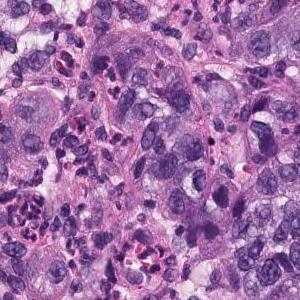
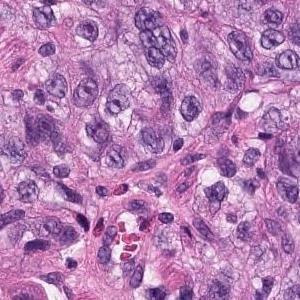
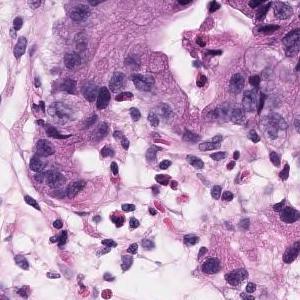
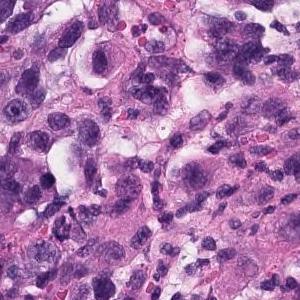
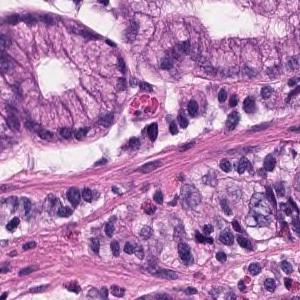
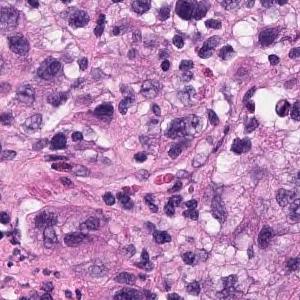
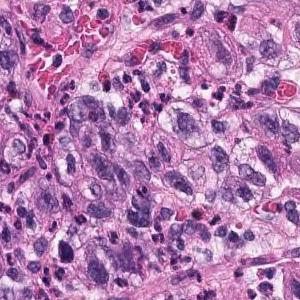
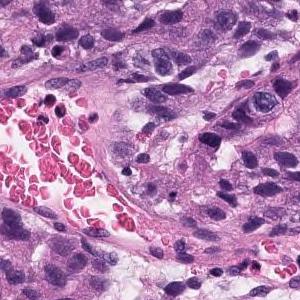
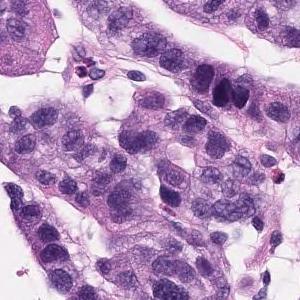
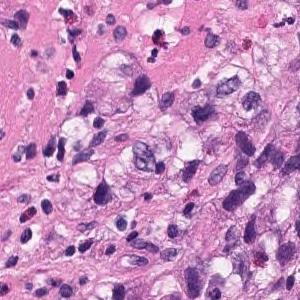
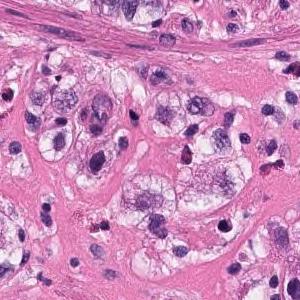
11 tiles cut from one stomach biopsy slide, 300 × 300 pixels each, ×20, H&E stain.
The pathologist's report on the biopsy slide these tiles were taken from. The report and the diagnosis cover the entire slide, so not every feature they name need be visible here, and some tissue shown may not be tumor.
Atypical l cells with atypical nuclei forming diffuse or small irregular atypical ducts and growing. Moderately to poorly differentiated adenocarcinoma (poorly differentiated adenocarcinoma, solid type, moderately differentiated tubular adenocarcinoma)
Histologic type: Moderately to poorly differentiated adenocarcinoma.
The solid type named here is a Japanese Classification of Gastric Carcinoma category; WHO 2019 calls it tubular adenocarcinoma, poorly differentiated.
